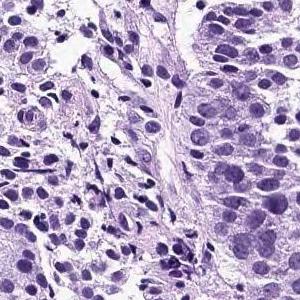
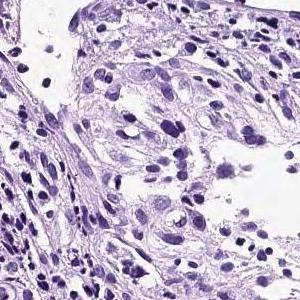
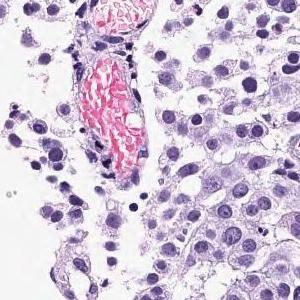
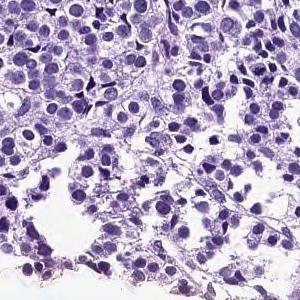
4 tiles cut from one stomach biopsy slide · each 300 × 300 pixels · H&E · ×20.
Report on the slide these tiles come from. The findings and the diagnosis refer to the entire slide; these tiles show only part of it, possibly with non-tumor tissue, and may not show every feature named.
Large sheet-like or diffusely infiltrating tumor tissue is found in the superficial epithelium. Poorly differentiated adenocarcinoma, solid-type
Tumor subtype: poorly differentiated adenocarcinoma, solid type (Japanese Classification of Gastric Carcinoma). The WHO 2019 equivalent is tubular adenocarcinoma, poorly differentiated.
